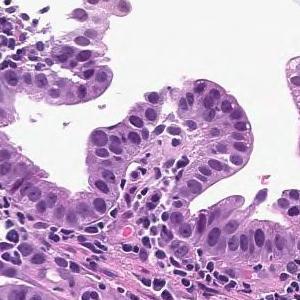
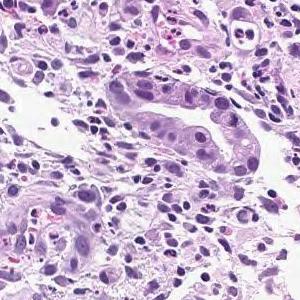
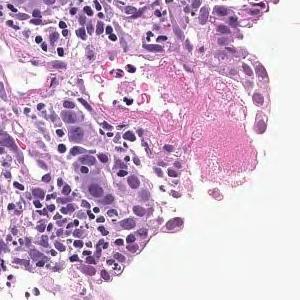
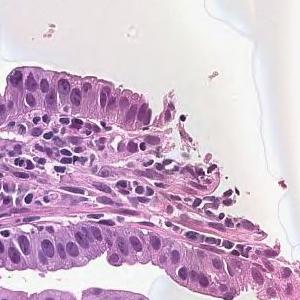
20× magnification; 4 image tiles from a single gastric biopsy slide; 300 × 300 pixels each.
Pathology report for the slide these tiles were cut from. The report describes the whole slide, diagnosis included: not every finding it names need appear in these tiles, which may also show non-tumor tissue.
On the superficial epithelium, tumor tissue that infiltrates by forming medium-sized papillary or small irregular ducts is observed. Papillary adenocarcinoma
